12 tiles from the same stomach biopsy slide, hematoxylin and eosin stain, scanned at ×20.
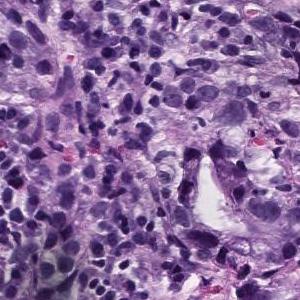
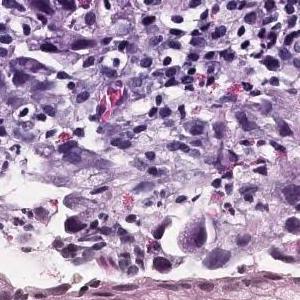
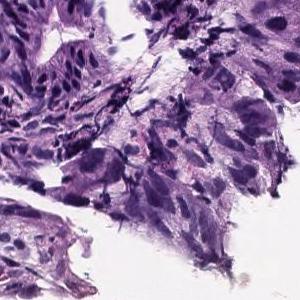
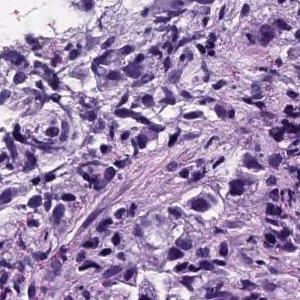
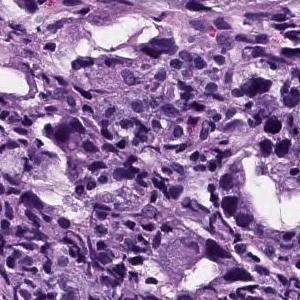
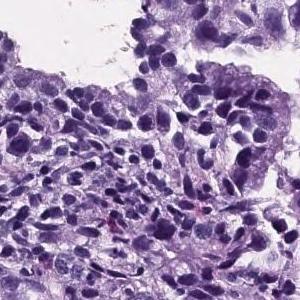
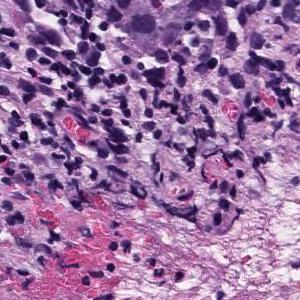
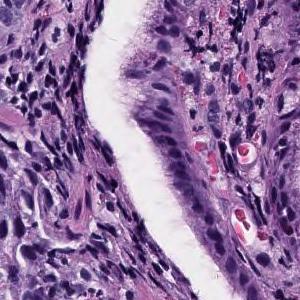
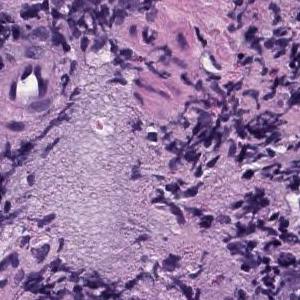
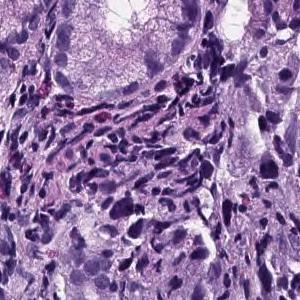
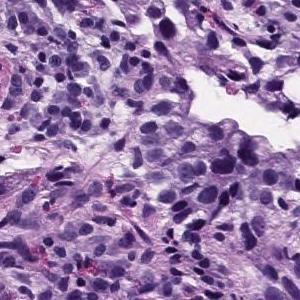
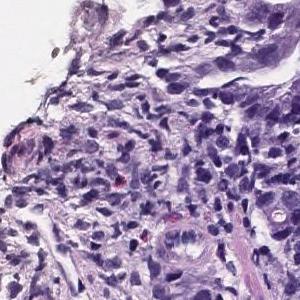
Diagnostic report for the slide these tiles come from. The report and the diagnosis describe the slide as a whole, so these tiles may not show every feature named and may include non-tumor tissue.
Atypical epithelial cells infiltrating and proliferating while forming solid or cord-like fused glandular cavities of different sizes is observed. moderately differentiated tubular adenocarcinoma, poorly differentiated adenocarcinoma.
Classified as moderately to poorly differentiated adenocarcinoma.
